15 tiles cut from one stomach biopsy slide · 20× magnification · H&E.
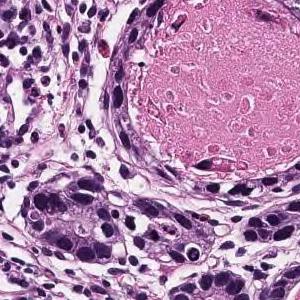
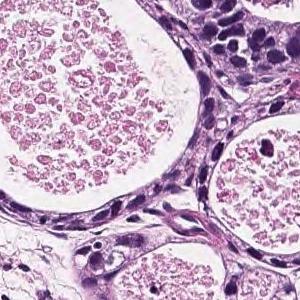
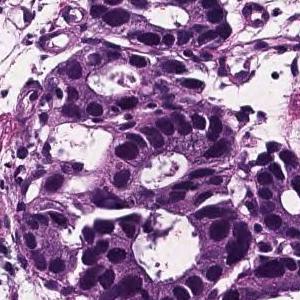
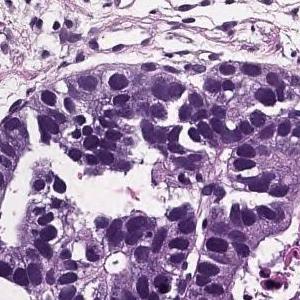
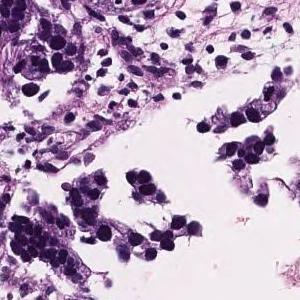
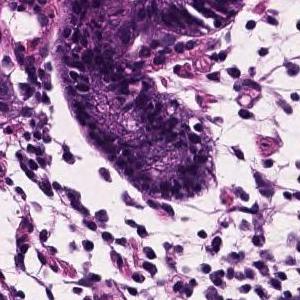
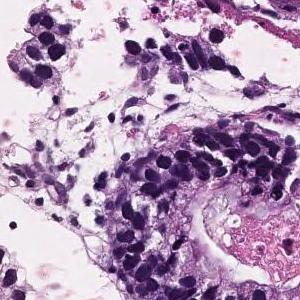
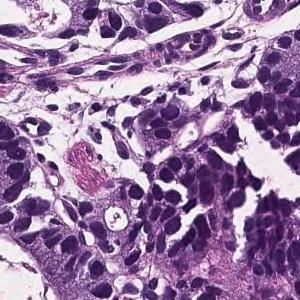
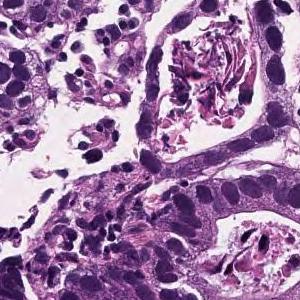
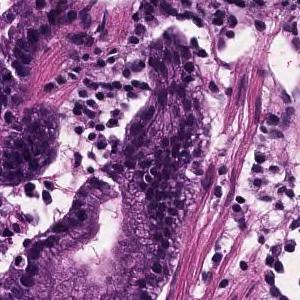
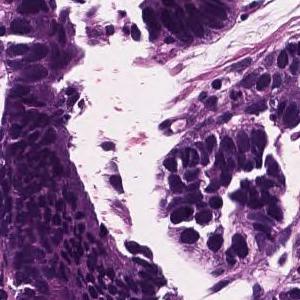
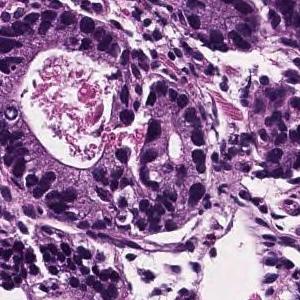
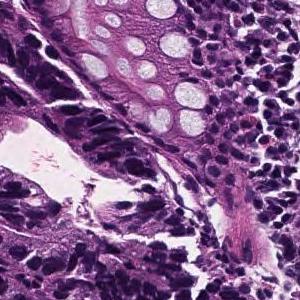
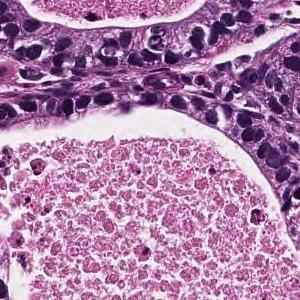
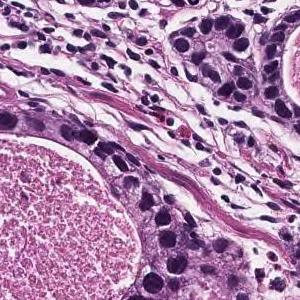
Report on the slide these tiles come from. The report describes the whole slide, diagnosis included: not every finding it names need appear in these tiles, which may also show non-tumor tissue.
In the superficial epithelium, tumor tissue that invades by forming medium-sized to small, irregular ducts is observed. Well differentiated tubular adenocarcinoma.
